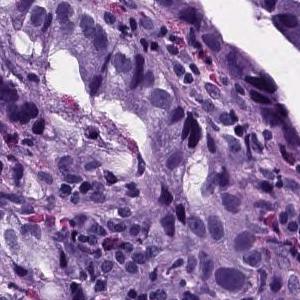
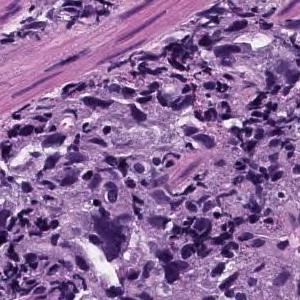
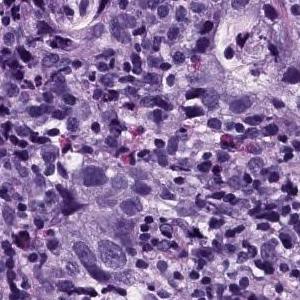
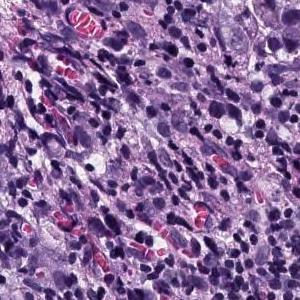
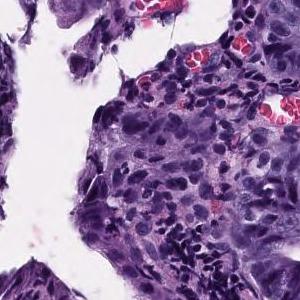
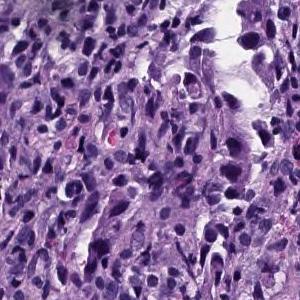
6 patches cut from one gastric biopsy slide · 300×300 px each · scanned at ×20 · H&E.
Diagnostic report for the slide these tiles come from. The report and the diagnosis cover the entire slide, so not every feature they name need be visible here, and some tissue shown may not be tumor.
Atypical epithelial cells infiltrating and proliferating while forming solid or cord-like fused glandular cavities of different sizes is observed. moderately differentiated tubular adenocarcinoma, poorly differentiated adenocarcinoma.
Classified as moderately to poorly differentiated adenocarcinoma.
